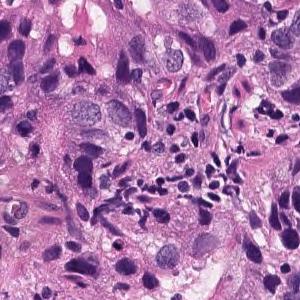
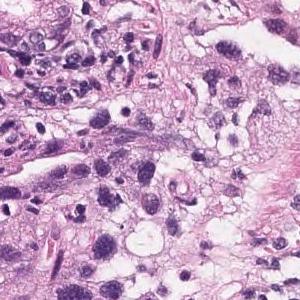
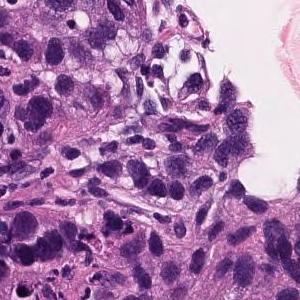
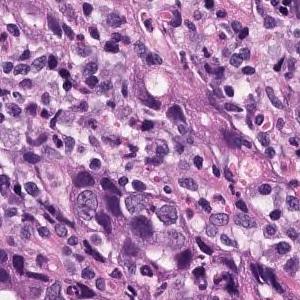
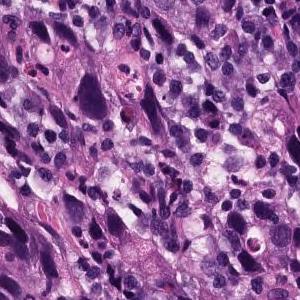
Hematoxylin and eosin stain · 5 patches cut from one gastric biopsy slide · each 300 × 300 pixels.
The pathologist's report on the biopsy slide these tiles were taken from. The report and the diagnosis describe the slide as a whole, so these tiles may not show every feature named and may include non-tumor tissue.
In the superficial epithelium, tumor tissue that invades by forming medium-sized to small, irregular ducts is observed. Moderately differentiated adenocarcinoma.
Tumor subtype: moderately differentiated tubular adenocarcinoma.
